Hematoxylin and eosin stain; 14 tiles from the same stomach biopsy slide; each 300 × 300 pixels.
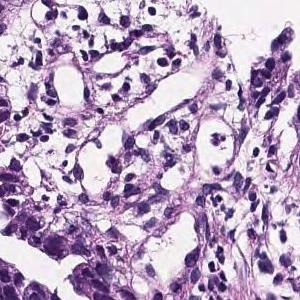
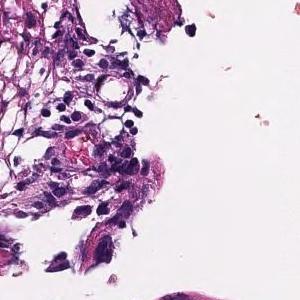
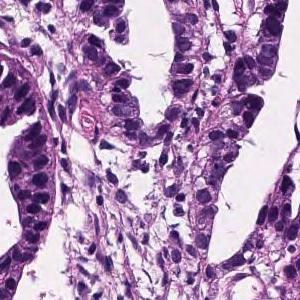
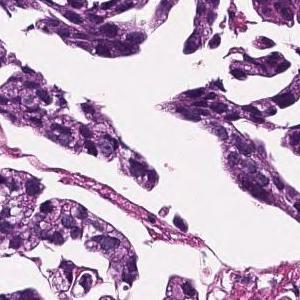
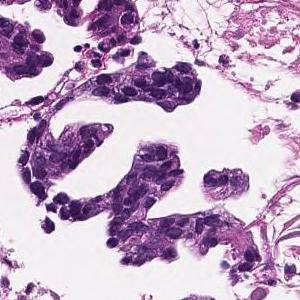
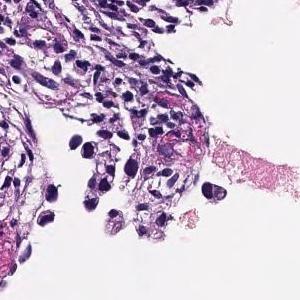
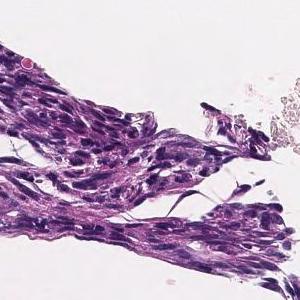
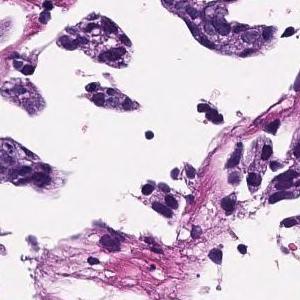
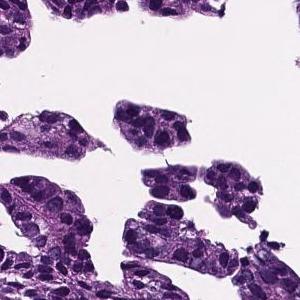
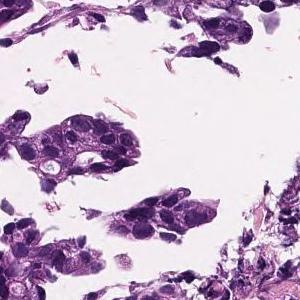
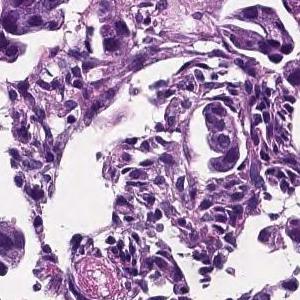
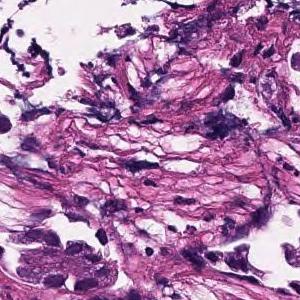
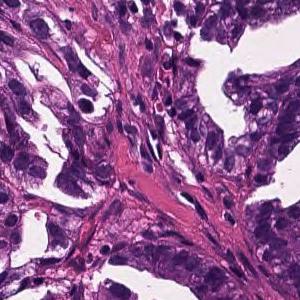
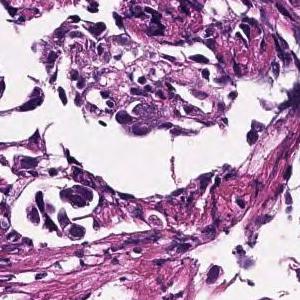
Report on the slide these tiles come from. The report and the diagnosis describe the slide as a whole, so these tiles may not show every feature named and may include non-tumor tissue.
In the lamina propria, tumor tissue that invades by forming medium-sized to small, irregular glandular ducts is observed. moderately differentiated tubular adenocarcinoma
